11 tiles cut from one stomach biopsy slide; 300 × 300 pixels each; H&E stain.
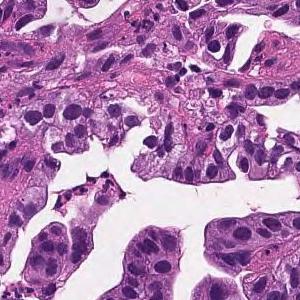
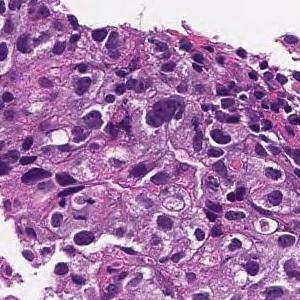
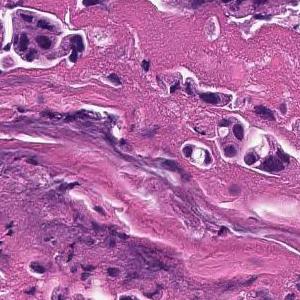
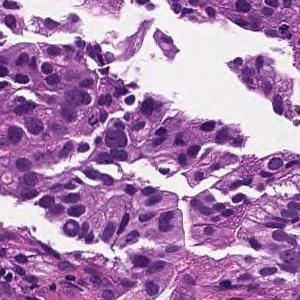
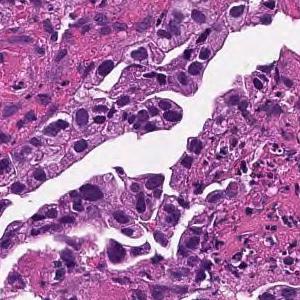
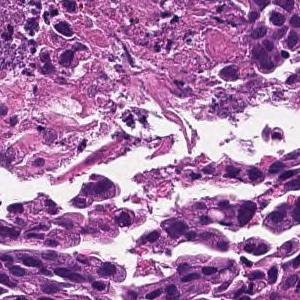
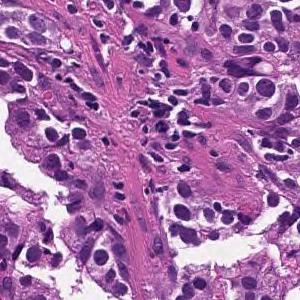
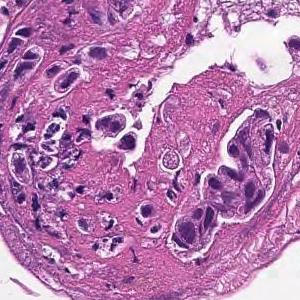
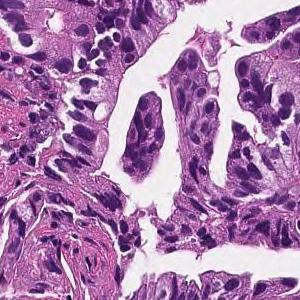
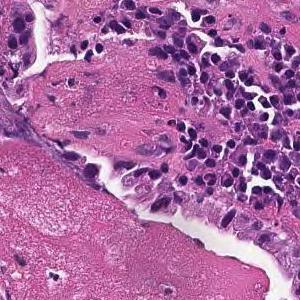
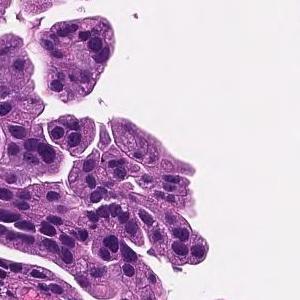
Pathology report for the slide these tiles were cut from. The findings and the diagnosis refer to the entire slide; these tiles show only part of it, possibly with non-tumor tissue, and may not show every feature named.
Medium to small, irregular glandular ducts are formed in the superficial epithelium, and in some cases, the glandular ducts are fused to show solid alveolar lesions and infiltrating tumor tissue is observed. Moderately to poorly differentiated adenocarcinoma.
